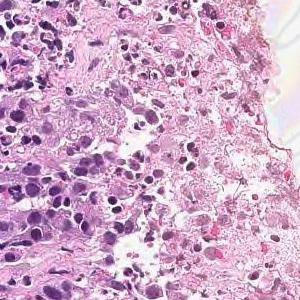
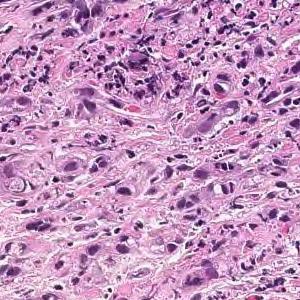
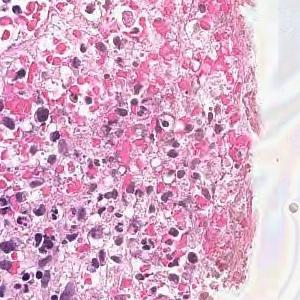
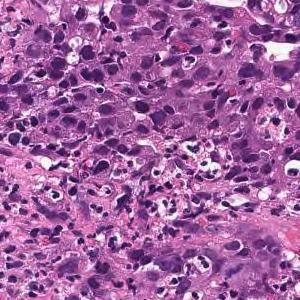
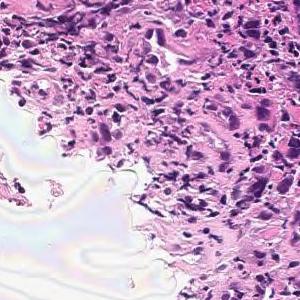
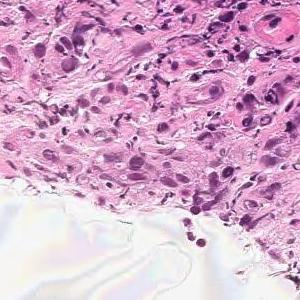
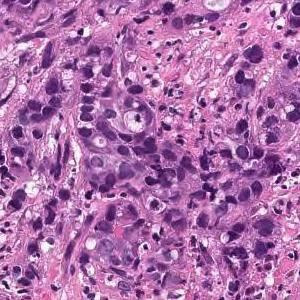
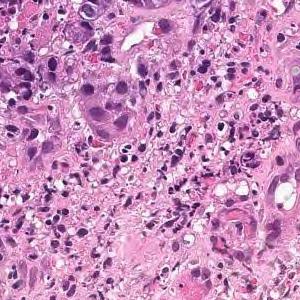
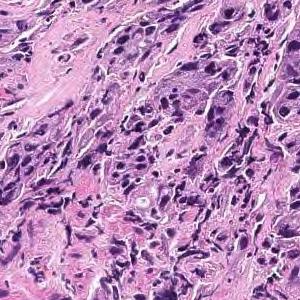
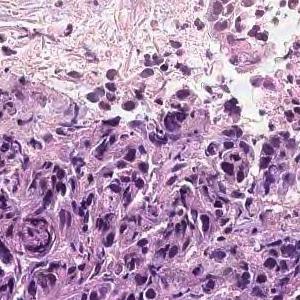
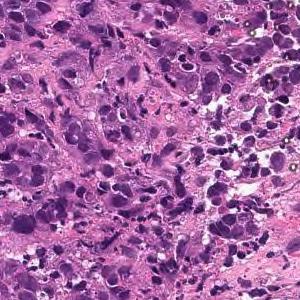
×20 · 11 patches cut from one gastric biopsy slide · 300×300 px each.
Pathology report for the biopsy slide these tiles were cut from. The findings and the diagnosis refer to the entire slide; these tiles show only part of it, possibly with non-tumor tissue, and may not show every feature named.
Tumor tissue consisting of cord-like or small, irregular glandular ducts fused and infiltrated is observed in the superficial epithelium. Poorly differentiated adenocarcinoma, non-solid type
The non-solid type named here is a Japanese Classification of Gastric Carcinoma category.
